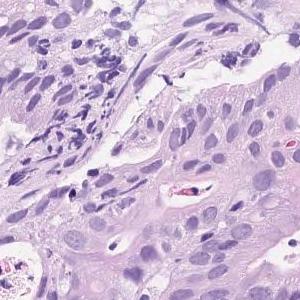
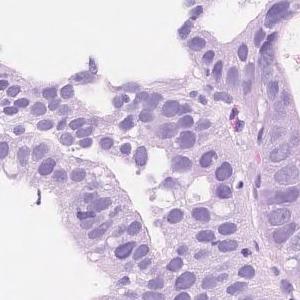
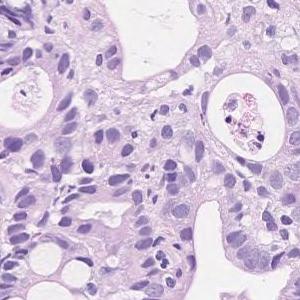
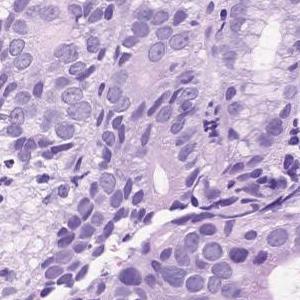
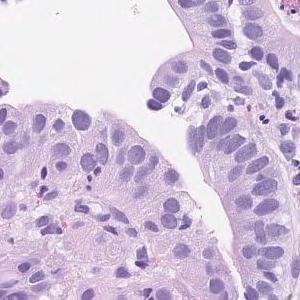
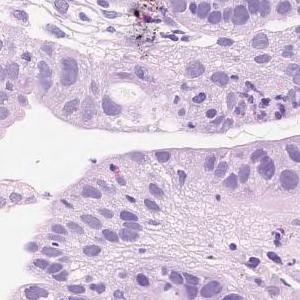
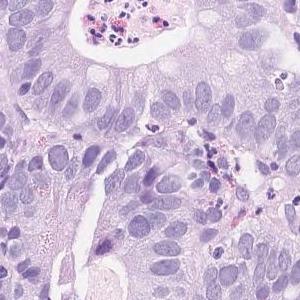
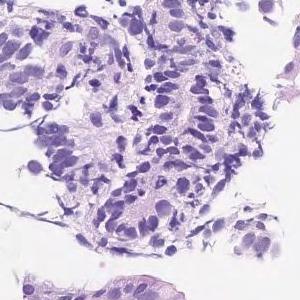
8 image tiles from a single gastric biopsy slide · 300×300 px each · H&E.
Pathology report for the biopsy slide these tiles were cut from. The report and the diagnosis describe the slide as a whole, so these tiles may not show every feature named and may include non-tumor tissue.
On the superficial epithelium, tumor tissue consisting of medium to small irregular tubules partially fused and proliferated is observed. moderately differentiated tubular adenocarcinoma
